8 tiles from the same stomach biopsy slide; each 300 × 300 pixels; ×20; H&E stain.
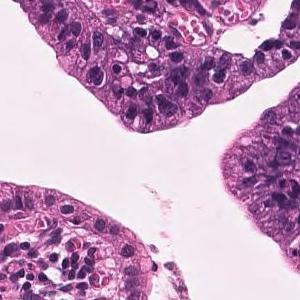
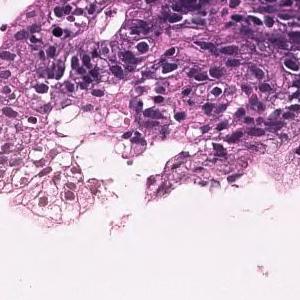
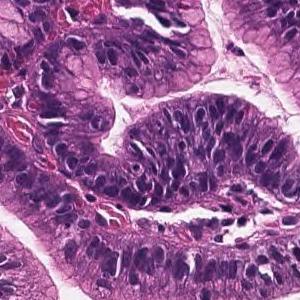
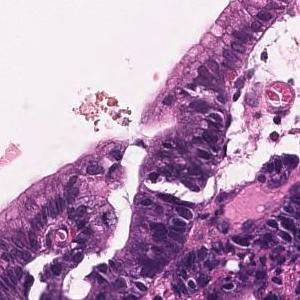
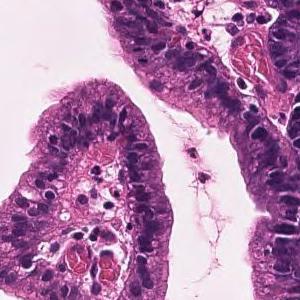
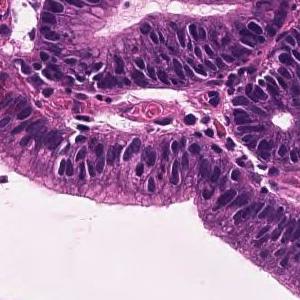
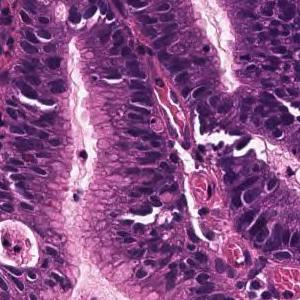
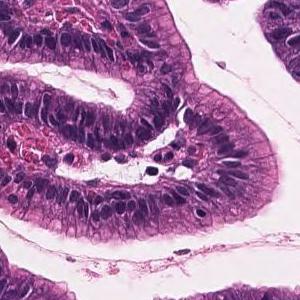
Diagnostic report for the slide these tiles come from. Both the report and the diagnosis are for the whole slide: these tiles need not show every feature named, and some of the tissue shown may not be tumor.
On the superficial epithelium, tumor tissue that infiltrates by forming medium-sized papillary or small irregular ducts is observed. Papillary adenocarcinoma
